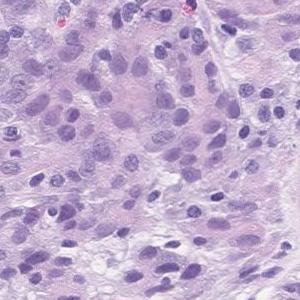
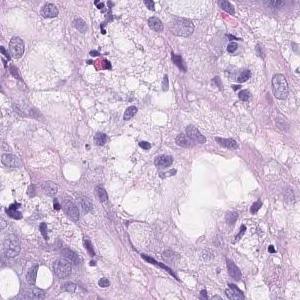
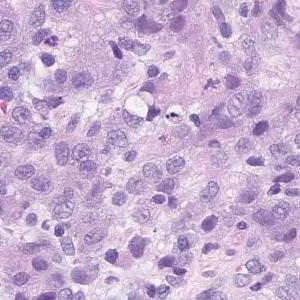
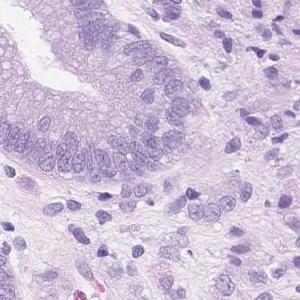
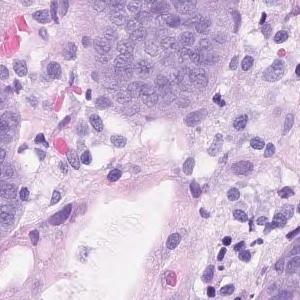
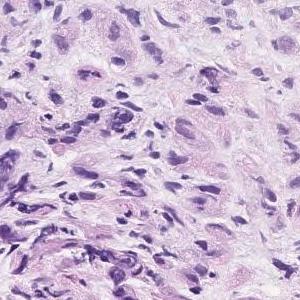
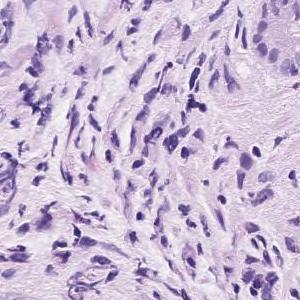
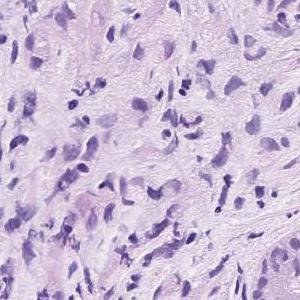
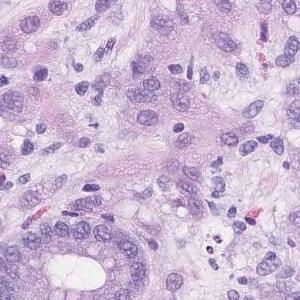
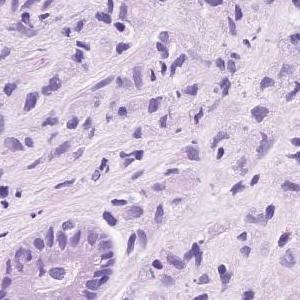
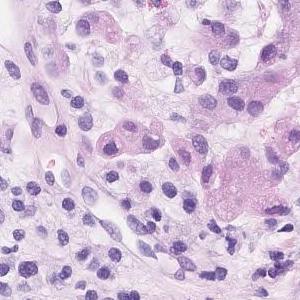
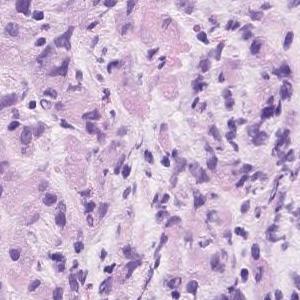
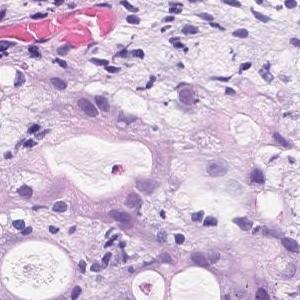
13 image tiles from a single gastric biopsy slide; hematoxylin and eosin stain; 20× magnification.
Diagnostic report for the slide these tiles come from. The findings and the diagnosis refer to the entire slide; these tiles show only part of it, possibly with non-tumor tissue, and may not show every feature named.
Group 5, Adenocarcinoma. Poorly differentiated adenocarcinoma, non-solid type
"Non-solid type" is a category of the Japanese Classification of Gastric Carcinoma.
